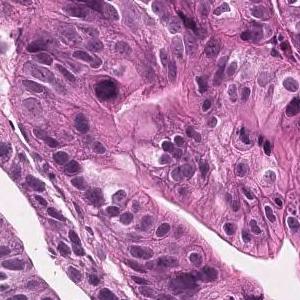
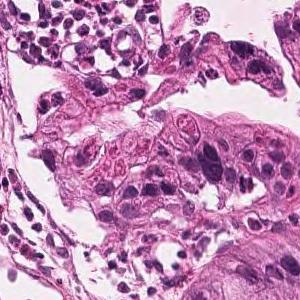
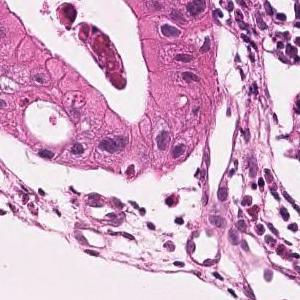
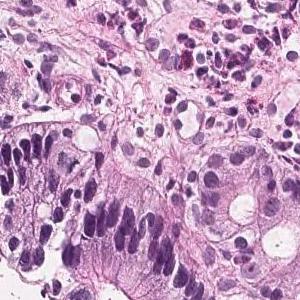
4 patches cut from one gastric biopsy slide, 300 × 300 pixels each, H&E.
Diagnostic report for the slide these tiles come from. The report and the diagnosis cover the entire slide, so not every feature they name need be visible here, and some tissue shown may not be tumor.
Tumor tissue consisting of medium-sized and irregular ducts is observed infiltrating in the superficial epithelium. Tumor cells are highly columnar, with nuclei aligned basolaterally and polarized. Well differentiated tubular adenocarcinoma.
